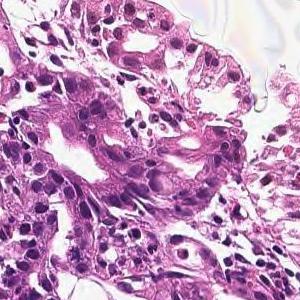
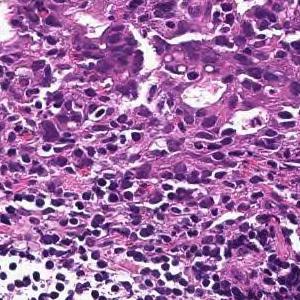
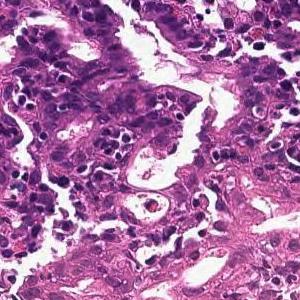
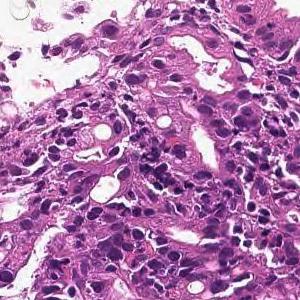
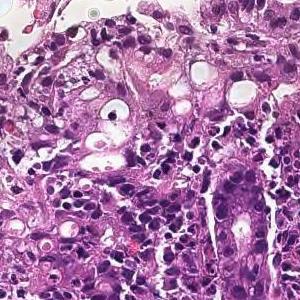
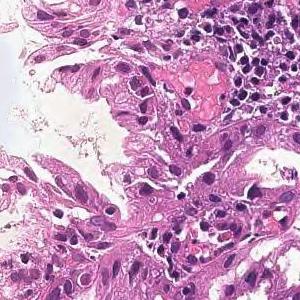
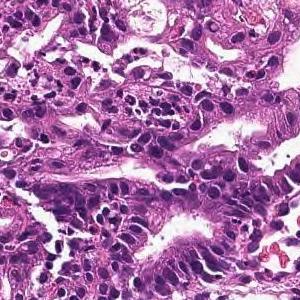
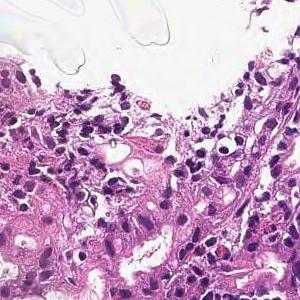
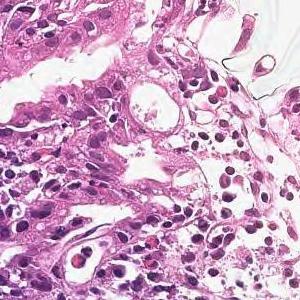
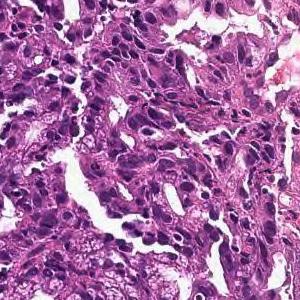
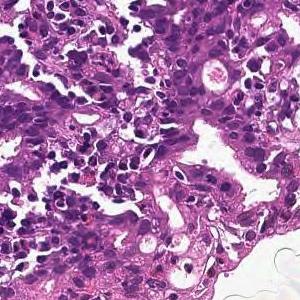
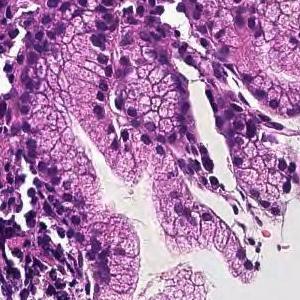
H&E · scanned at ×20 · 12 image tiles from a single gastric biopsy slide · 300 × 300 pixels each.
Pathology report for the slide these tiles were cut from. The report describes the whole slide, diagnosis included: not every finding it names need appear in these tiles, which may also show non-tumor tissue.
In the superficial epithelium, tumor tissue that invades by forming medium-sized to small, irregular ducts is observed. moderately differentiated tubular adenocarcinoma.
